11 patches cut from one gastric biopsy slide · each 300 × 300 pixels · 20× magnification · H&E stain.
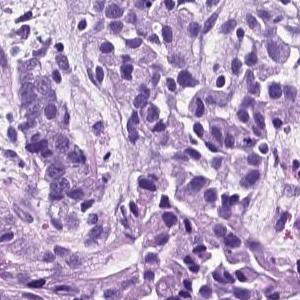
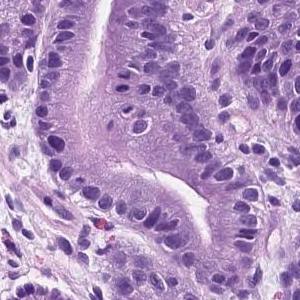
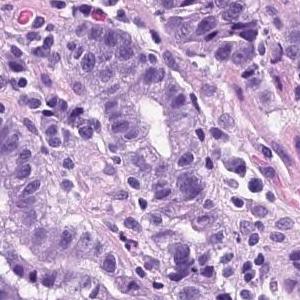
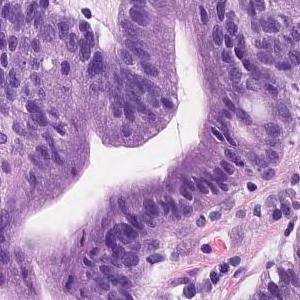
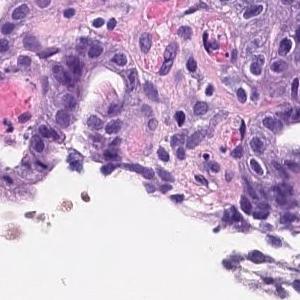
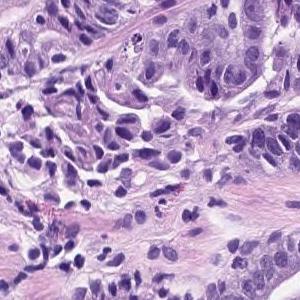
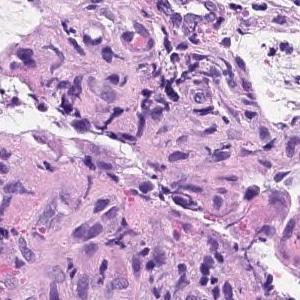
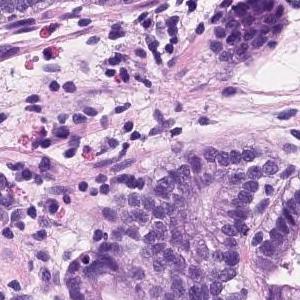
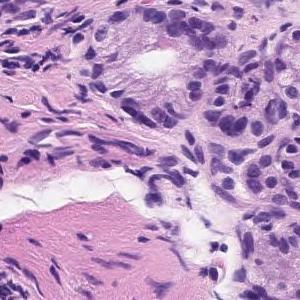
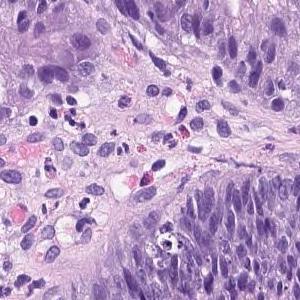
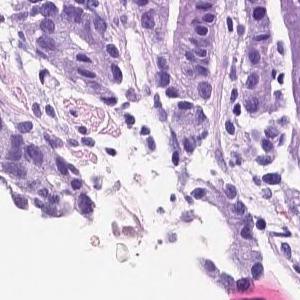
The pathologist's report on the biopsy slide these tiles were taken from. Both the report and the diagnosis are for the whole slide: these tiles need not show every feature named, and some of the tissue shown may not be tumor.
Tumor tissue consisting of medium-sized and irregular ducts is observed infiltrating in the superficial epithelium. Tumor cells are highly columnar, with nuclei aligned basolaterally and polarized. Well differentiated tubular adenocarcinoma.
